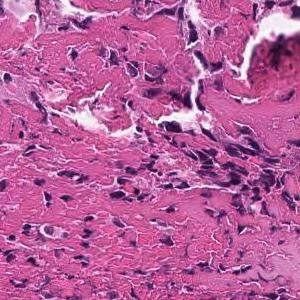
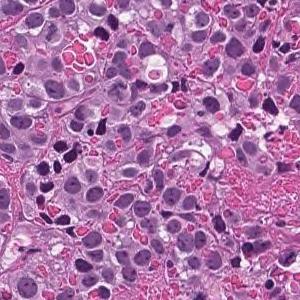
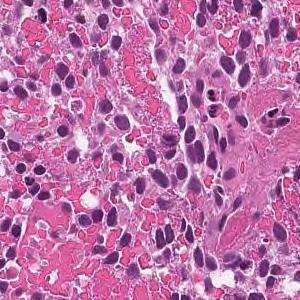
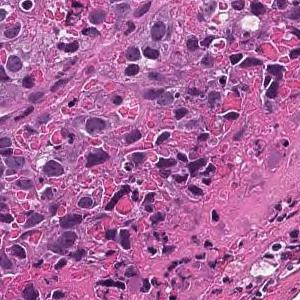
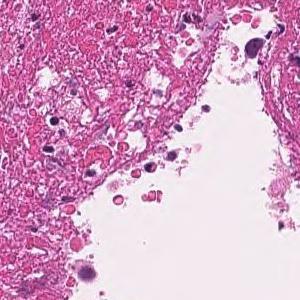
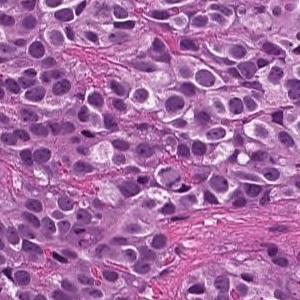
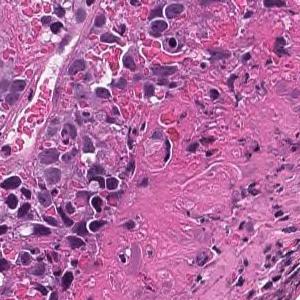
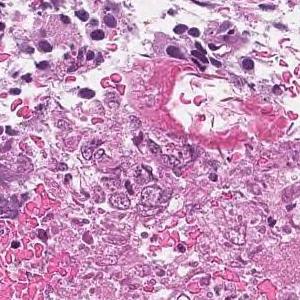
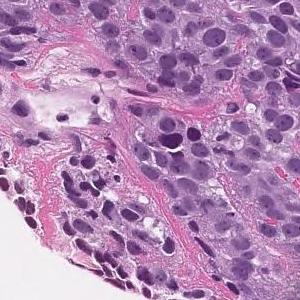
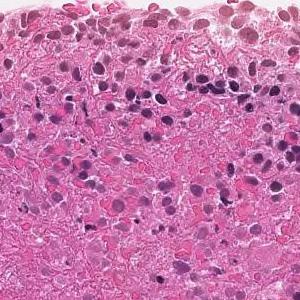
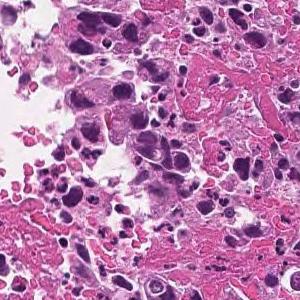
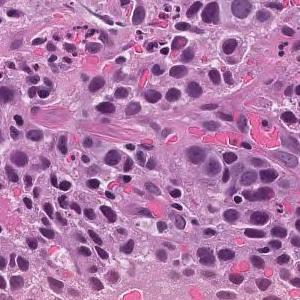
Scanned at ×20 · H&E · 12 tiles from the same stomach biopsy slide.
The pathologist's report on the biopsy slide these tiles were taken from. The report and the diagnosis describe the slide as a whole, so these tiles may not show every feature named and may include non-tumor tissue.
The superficial epithelium shows a large sheet-like shape, and some tumor tissue infiltrates with small irregular ducts. Poorly differentiated adenocarcinoma, solid-type
Tumor subtype: poorly differentiated adenocarcinoma, solid type, a category of the Japanese Classification of Gastric Carcinoma; in the WHO 2019 classification it is tubular adenocarcinoma, poorly differentiated.
